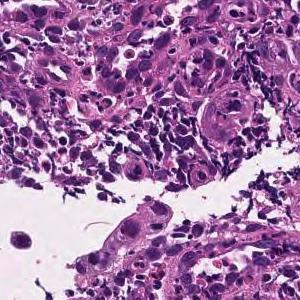
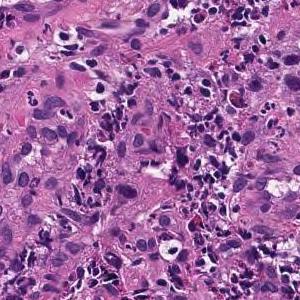
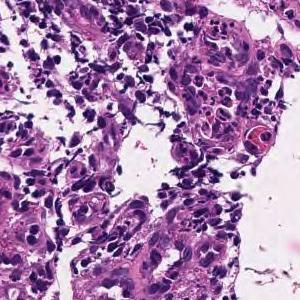
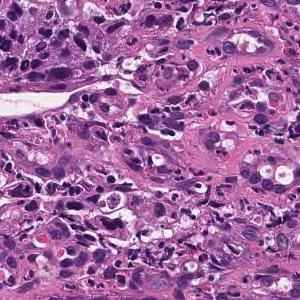
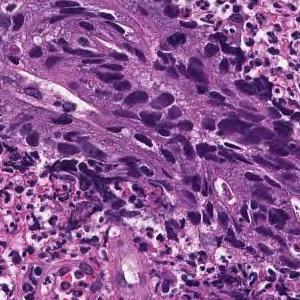
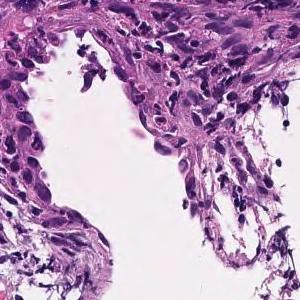
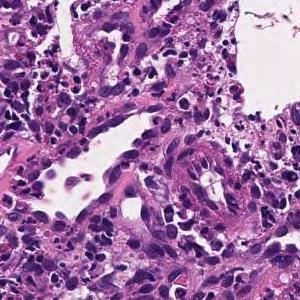
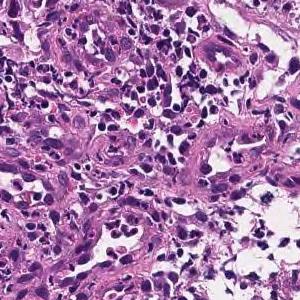
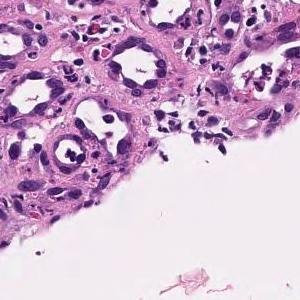
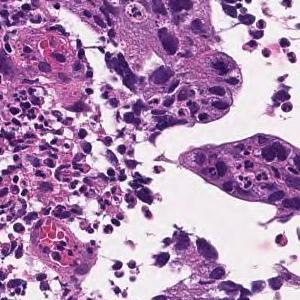
10 tiles from the same stomach biopsy slide; scanned at ×20; H&E.
Pathology report for the slide these tiles were cut from. What the report and the diagnosis say applies to the whole slide; these tiles may miss some of the features named and may include tissue that is not tumor.
In the superficial epithelium, tumor tissue that invades by forming medium-sized to small, irregular ducts is observed. moderately differentiated tubular adenocarcinoma.
